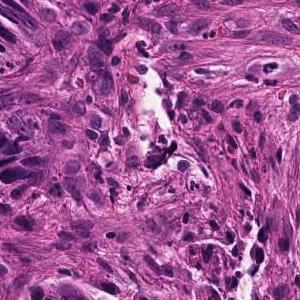
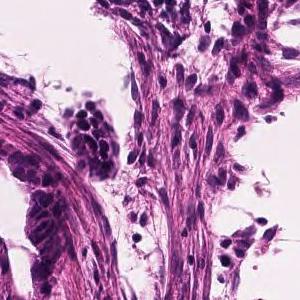
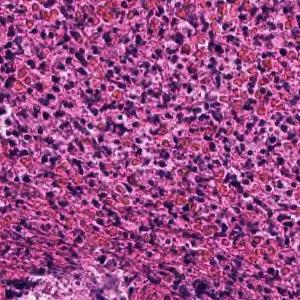
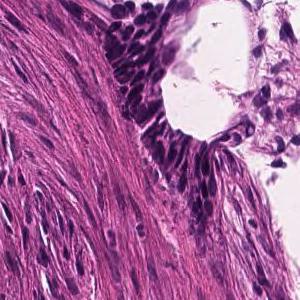
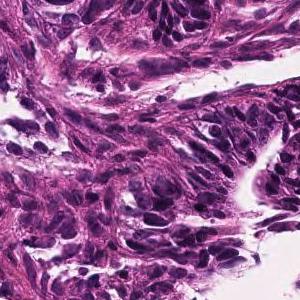
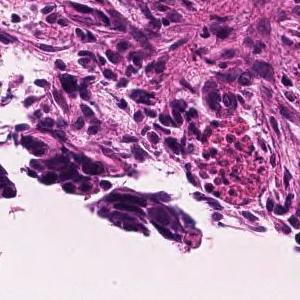
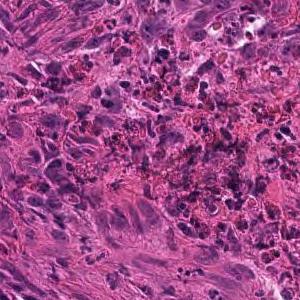
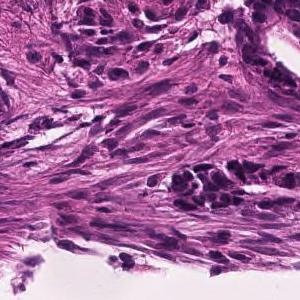
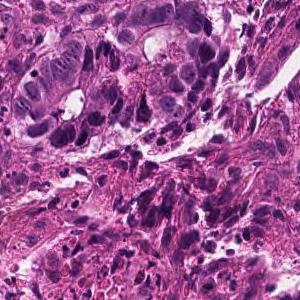
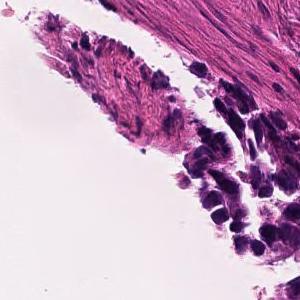
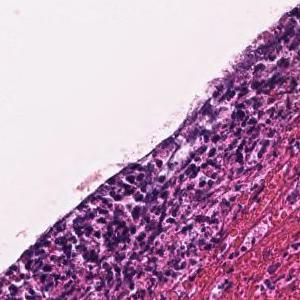
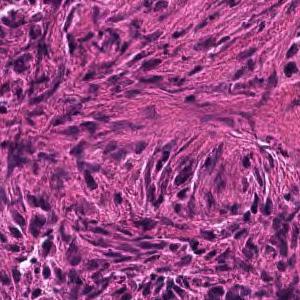
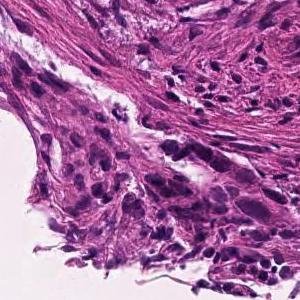
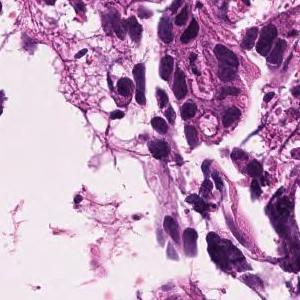
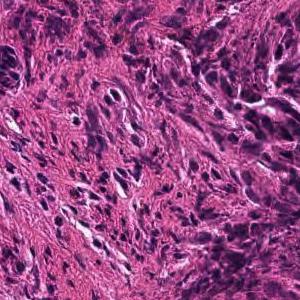
15 patches cut from one gastric biopsy slide · 20× magnification.
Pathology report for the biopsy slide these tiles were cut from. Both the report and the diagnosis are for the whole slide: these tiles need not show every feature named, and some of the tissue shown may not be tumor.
In the superficial epithelium, tumor tissue that invades by forming medium-sized to small, irregular ducts is observed. moderately differentiated tubular adenocarcinoma.
